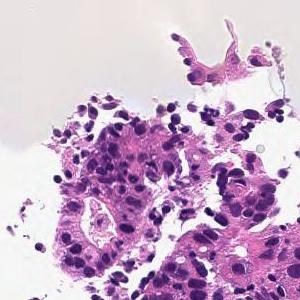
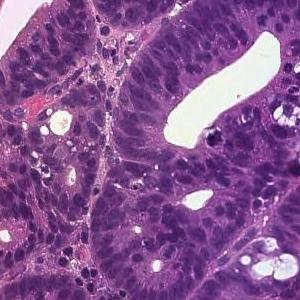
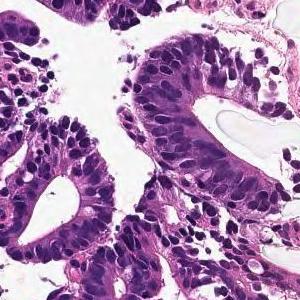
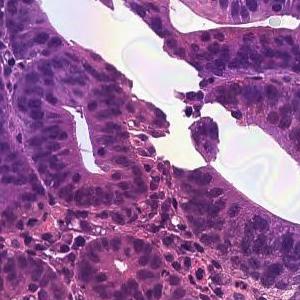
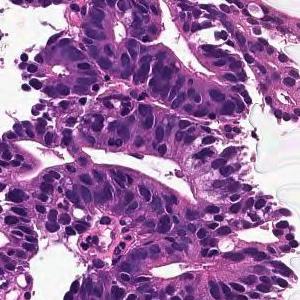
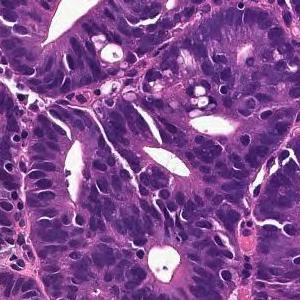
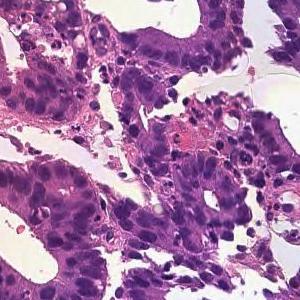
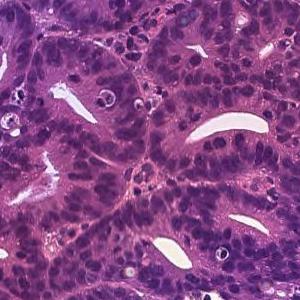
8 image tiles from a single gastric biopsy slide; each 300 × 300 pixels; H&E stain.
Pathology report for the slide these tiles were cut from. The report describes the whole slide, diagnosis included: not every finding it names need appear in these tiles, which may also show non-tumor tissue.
On the superficial epithelium, tumor tissue consisting of large irregular glandular ducts partially fused and infiltrated is observed. Well to moderately differentiated tubular adenocarcinoma (well differentiated tubular adenocarcinoma, moderately differentiated tubular adenocarcinoma)
Histologic type: Well to moderately differentiated tubular adenocarcinoma.
